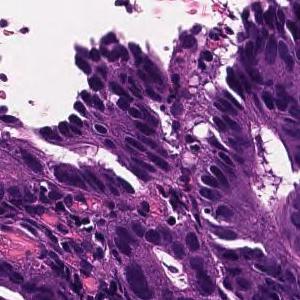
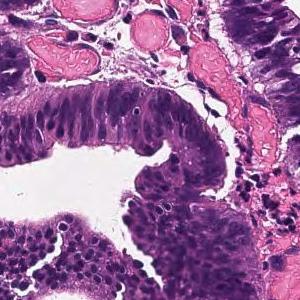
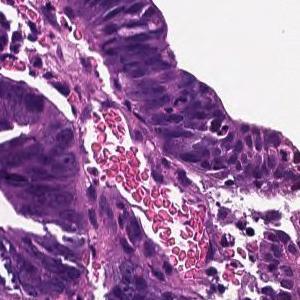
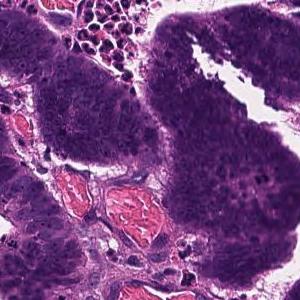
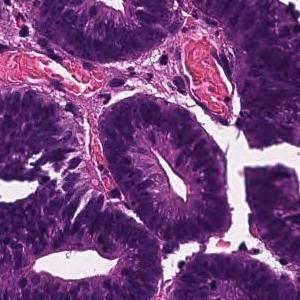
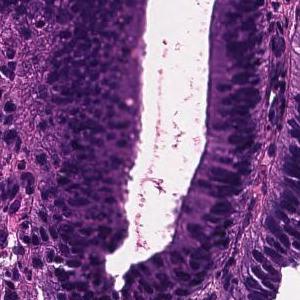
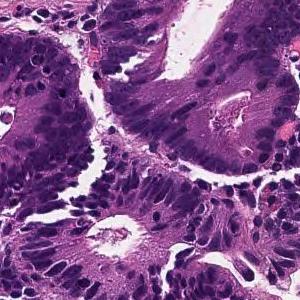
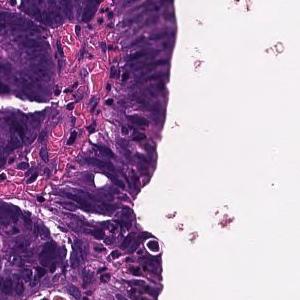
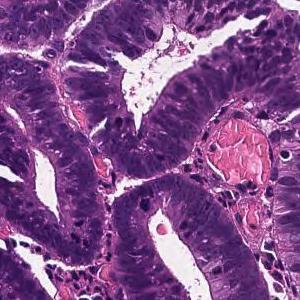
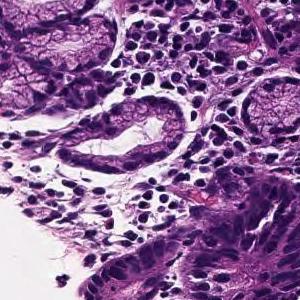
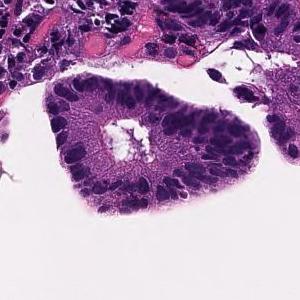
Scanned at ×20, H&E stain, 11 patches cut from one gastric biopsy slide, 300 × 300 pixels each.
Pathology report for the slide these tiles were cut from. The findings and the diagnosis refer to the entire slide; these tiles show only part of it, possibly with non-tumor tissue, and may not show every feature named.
Tumor tissue consisting of large papillary structures is found in the superficial epithelium. Papillary adenocarcinoma.
